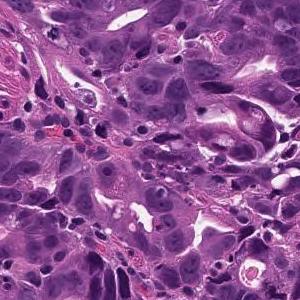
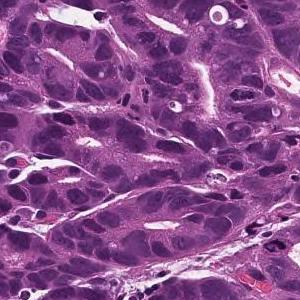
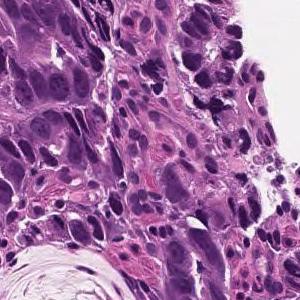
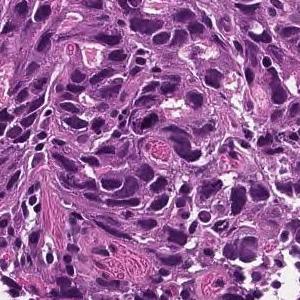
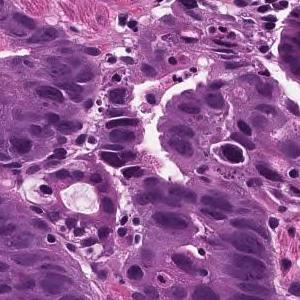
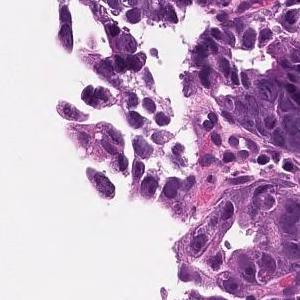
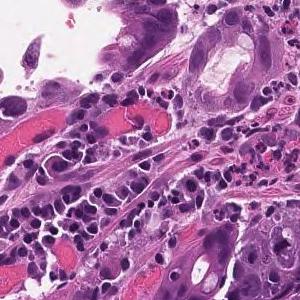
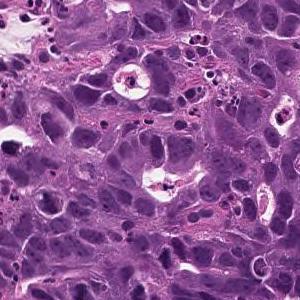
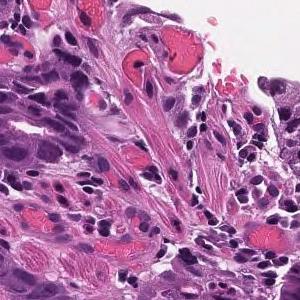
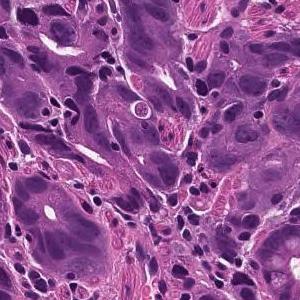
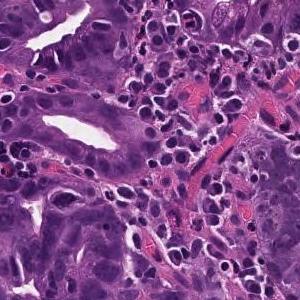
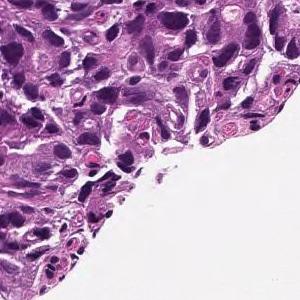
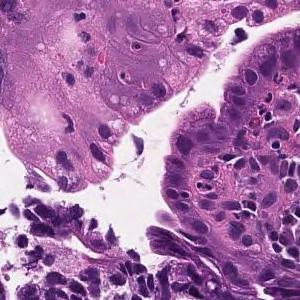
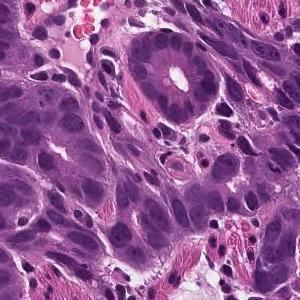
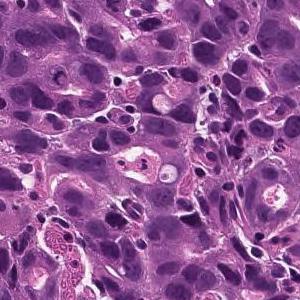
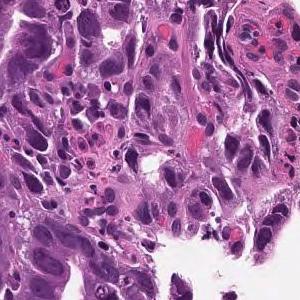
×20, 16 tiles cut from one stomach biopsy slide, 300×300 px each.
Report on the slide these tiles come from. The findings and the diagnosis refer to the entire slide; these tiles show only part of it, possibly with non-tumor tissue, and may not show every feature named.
On the superficial epithelium, tumor tissue is found in which medium-sized irregular gland ducts fuse with each other and infiltrate. moderately differentiated tubular adenocarcinoma
